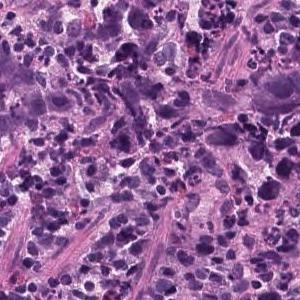
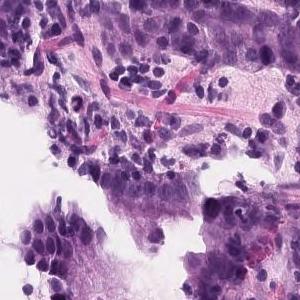
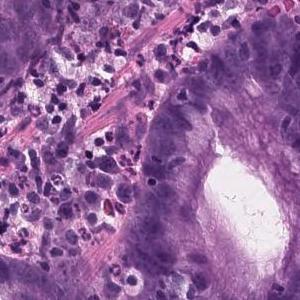
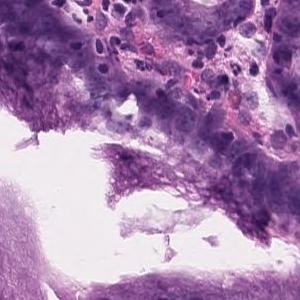
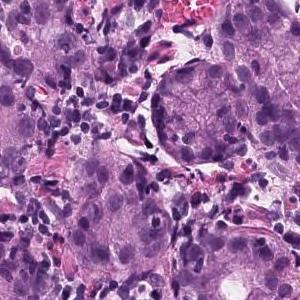
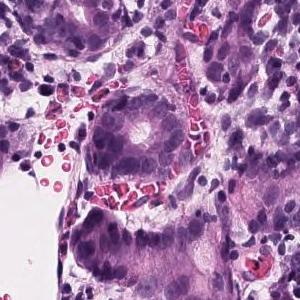
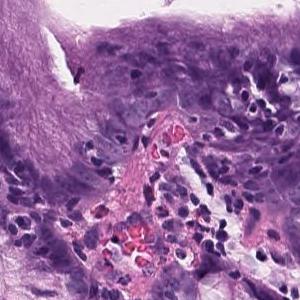
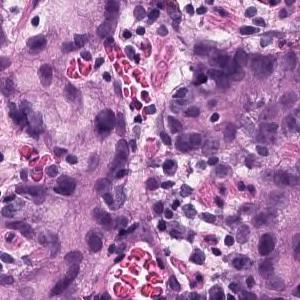
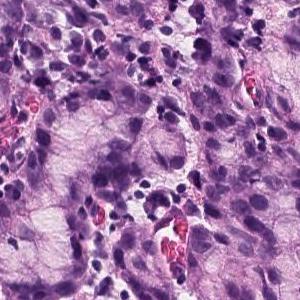
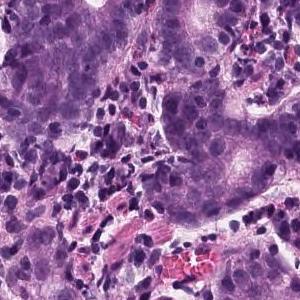
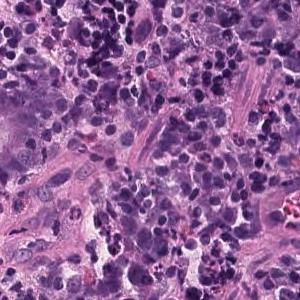
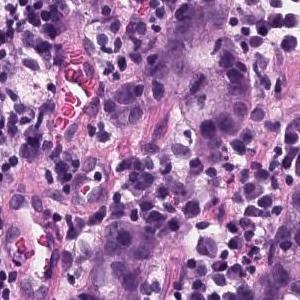
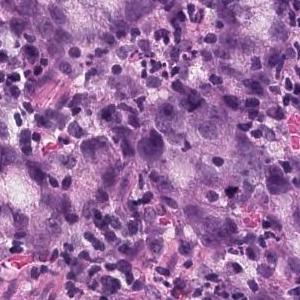
13 image tiles from a single gastric biopsy slide · 300 × 300 pixels each.
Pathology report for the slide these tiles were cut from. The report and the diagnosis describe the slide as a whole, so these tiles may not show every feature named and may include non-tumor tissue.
In the superficial epithelium, tumor tissue that invades by forming medium-sized to small, irregular ducts is observed. Moderately differentiated adenocarcinoma.
Classified as moderately differentiated tubular adenocarcinoma.
